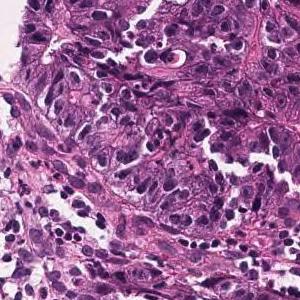
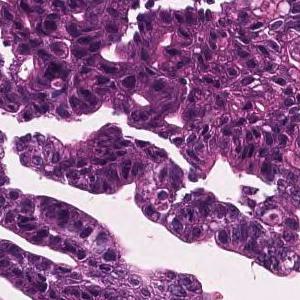
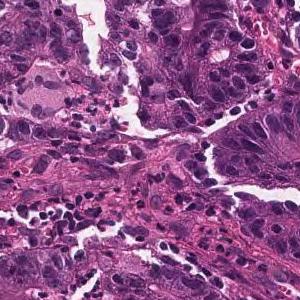
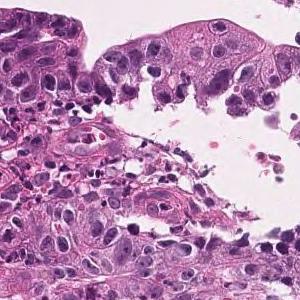
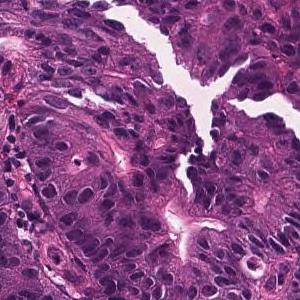
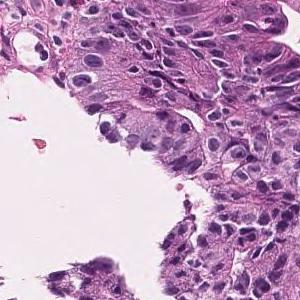
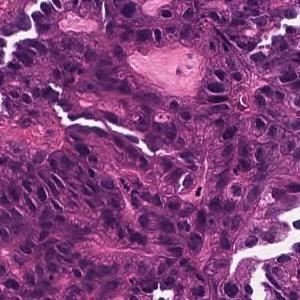
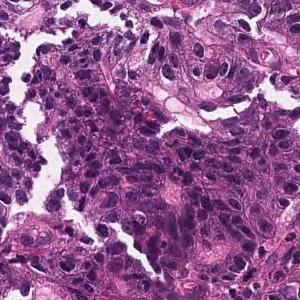
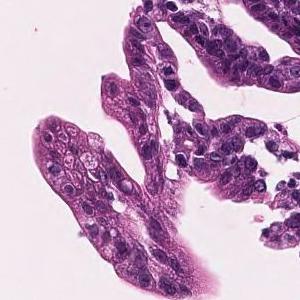
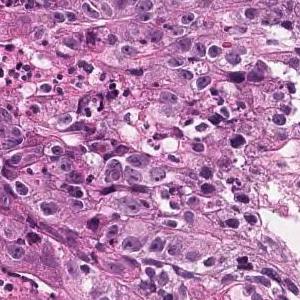
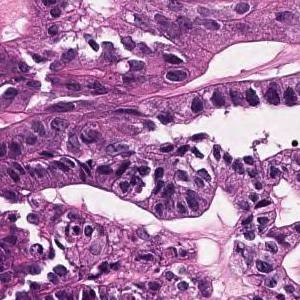
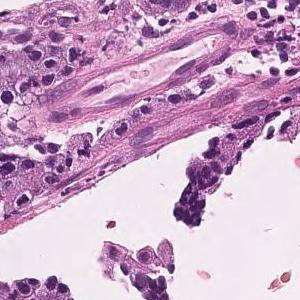
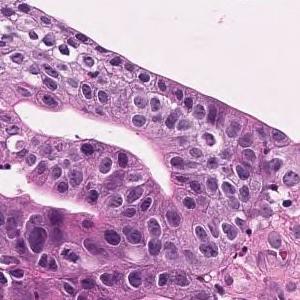
13 tiles cut from one stomach biopsy slide, 300 × 300 pixels each, H&E stain, 20× magnification.
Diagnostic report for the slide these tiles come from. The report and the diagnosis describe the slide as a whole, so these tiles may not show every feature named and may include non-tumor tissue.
In the superficial epithelium, tumor tissue that invades by forming medium-sized to small, irregular ducts is observed. Well differentiated tubular adenocarcinoma.
